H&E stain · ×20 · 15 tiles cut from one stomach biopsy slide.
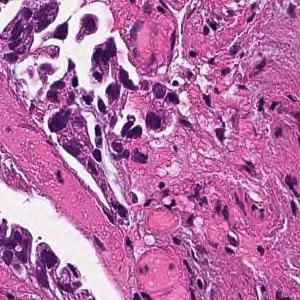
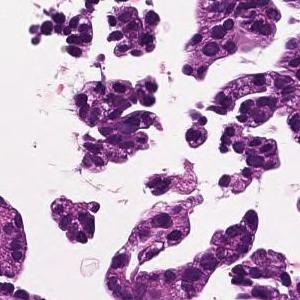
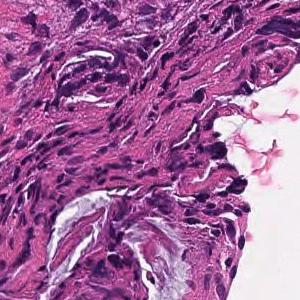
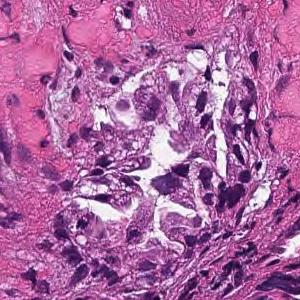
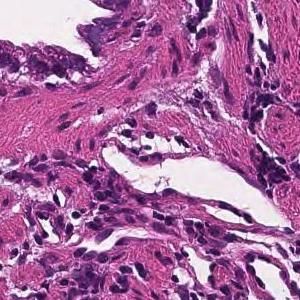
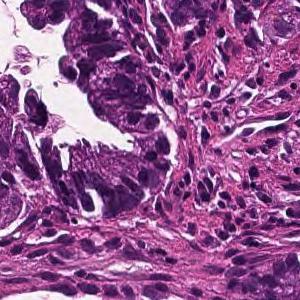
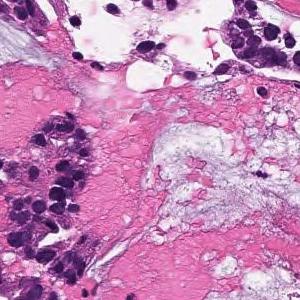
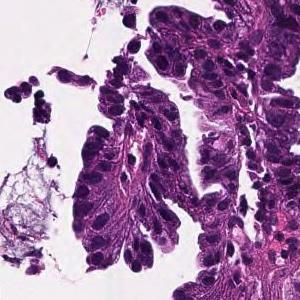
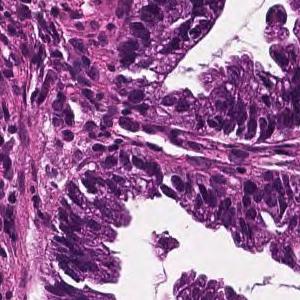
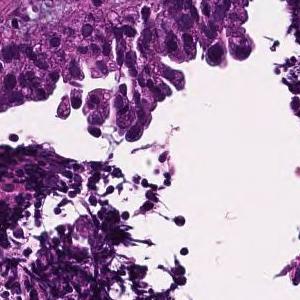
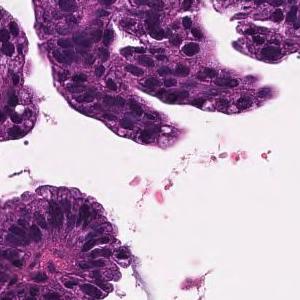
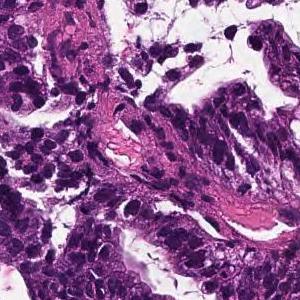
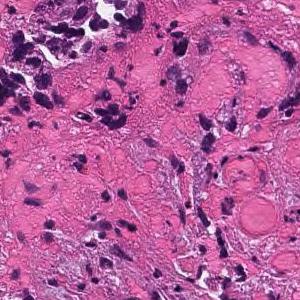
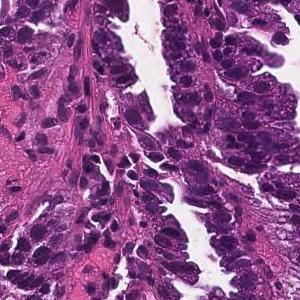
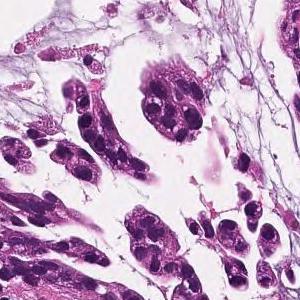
Diagnostic report for the slide these tiles come from. The report and the diagnosis cover the entire slide, so not every feature they name need be visible here, and some tissue shown may not be tumor.
Tumor cells are large, highly columnar, large club-shaped nuclei, and are associated with chromatin aggregation. Papillary adenocarcinoma.
